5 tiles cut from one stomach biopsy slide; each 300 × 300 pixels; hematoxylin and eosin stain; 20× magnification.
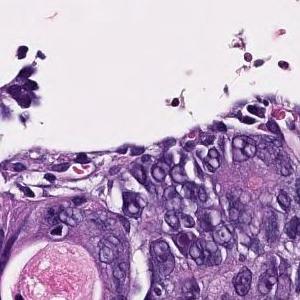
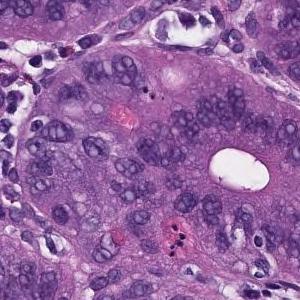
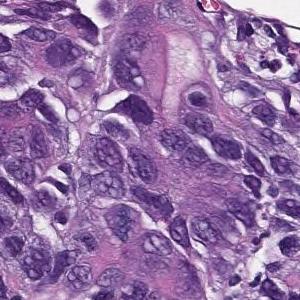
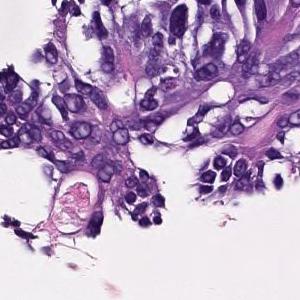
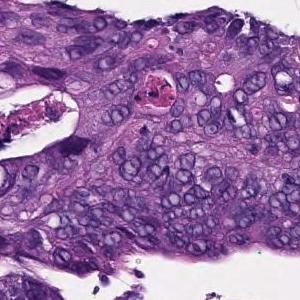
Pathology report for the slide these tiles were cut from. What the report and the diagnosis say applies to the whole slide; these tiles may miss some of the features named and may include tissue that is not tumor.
In the superficial epithelium, tumor tissue that invades by forming medium-sized to small, irregular ducts is observed. moderately differentiated tubular adenocarcinoma.
